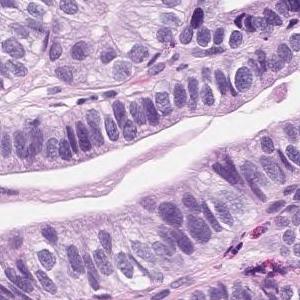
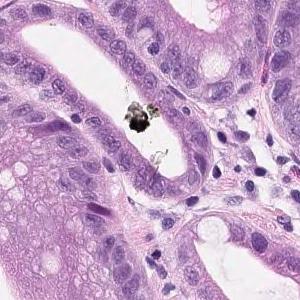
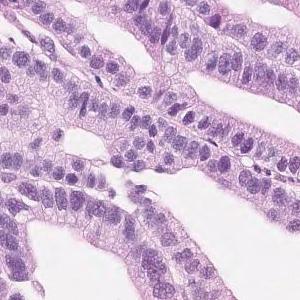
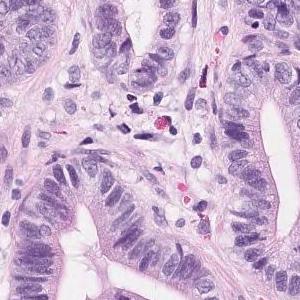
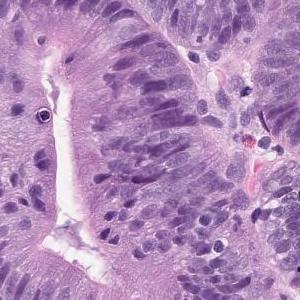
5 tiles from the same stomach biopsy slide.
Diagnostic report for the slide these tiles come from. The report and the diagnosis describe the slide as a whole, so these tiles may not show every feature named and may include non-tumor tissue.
Short atypical epithelium with swelling of the nucleus shows proliferating, large and small irregular ductal structures. Well to moderately differentiated tubular adenocarcinoma (well differentiated tubular adenocarcinoma-moderately differentiated tubular adenocarcinoma)
Histological subtype: Well to moderately differentiated tubular adenocarcinoma.
